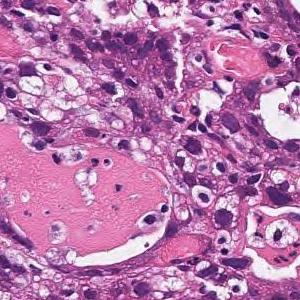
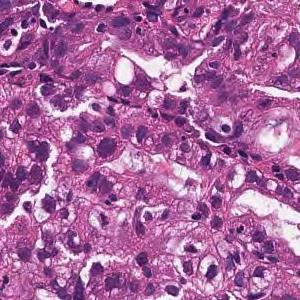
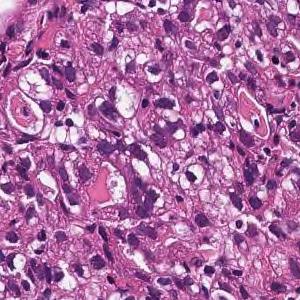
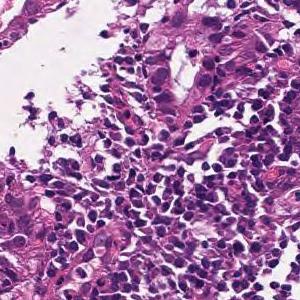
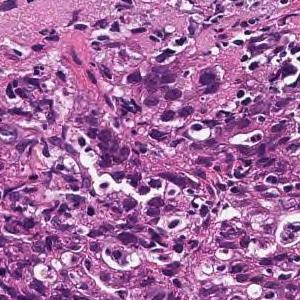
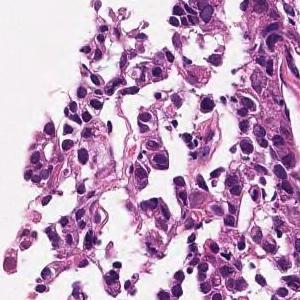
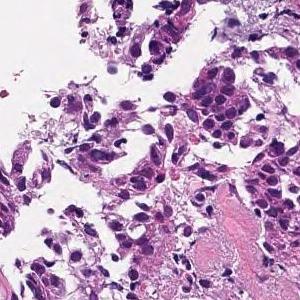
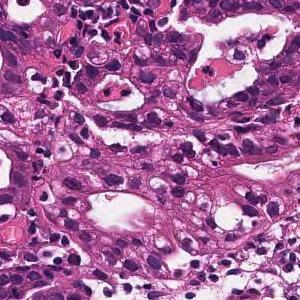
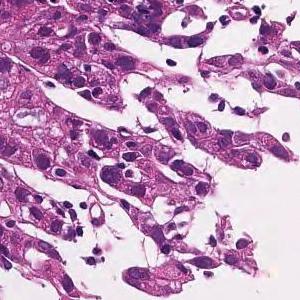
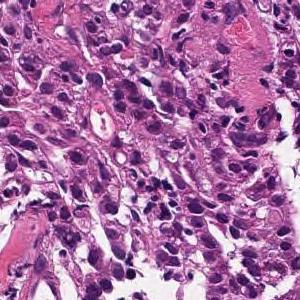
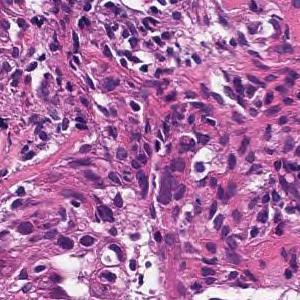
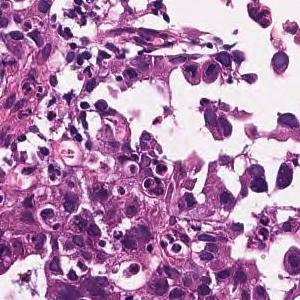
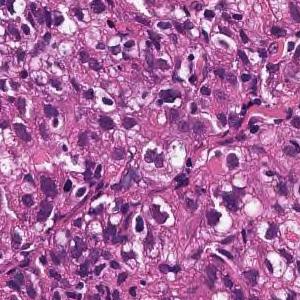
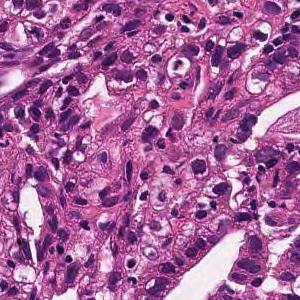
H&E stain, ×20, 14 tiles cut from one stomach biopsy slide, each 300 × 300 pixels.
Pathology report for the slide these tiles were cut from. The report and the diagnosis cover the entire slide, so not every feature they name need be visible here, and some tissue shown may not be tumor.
Tumor tissue consisting of cord-like or small, irregular glandular ducts fused and infiltrated is observed in the superficial epithelium. Poorly differentiated adenocarcinoma, non-solid type
The term "non-solid type" comes from the Japanese Classification of Gastric Carcinoma.
